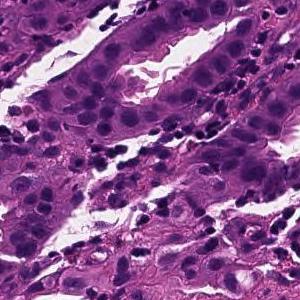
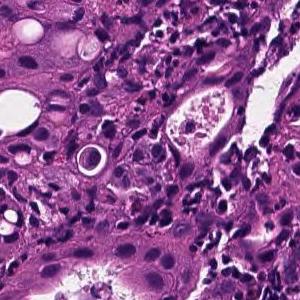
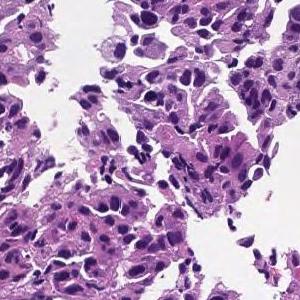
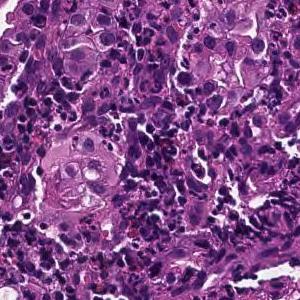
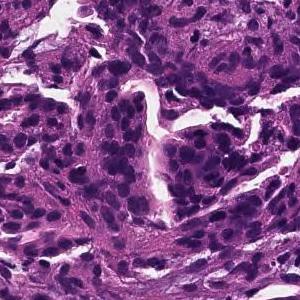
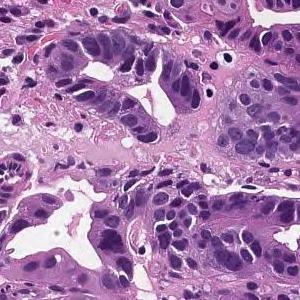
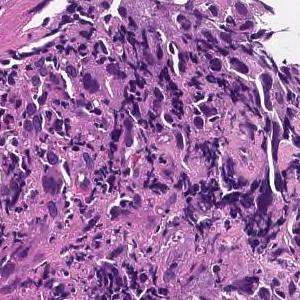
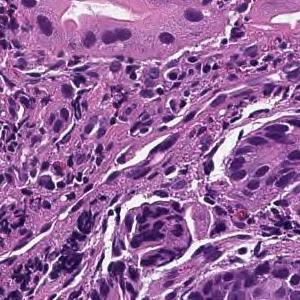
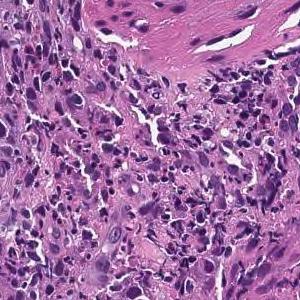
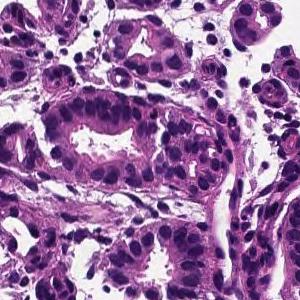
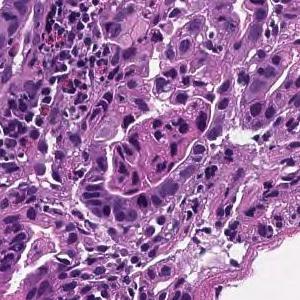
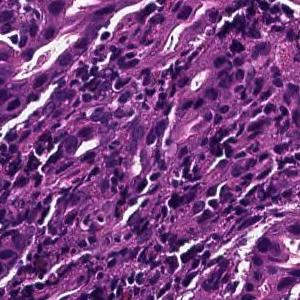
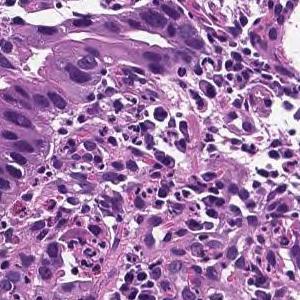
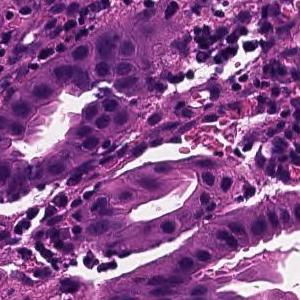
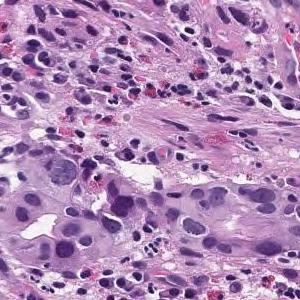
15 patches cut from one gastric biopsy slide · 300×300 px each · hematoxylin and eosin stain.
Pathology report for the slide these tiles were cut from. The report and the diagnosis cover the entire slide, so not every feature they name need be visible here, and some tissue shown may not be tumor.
In the superficial epithelium, tumor tissue that invades by forming medium-sized to small, irregular ducts is observed. moderately differentiated tubular adenocarcinoma.
